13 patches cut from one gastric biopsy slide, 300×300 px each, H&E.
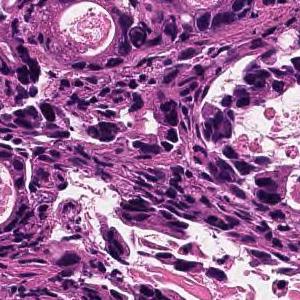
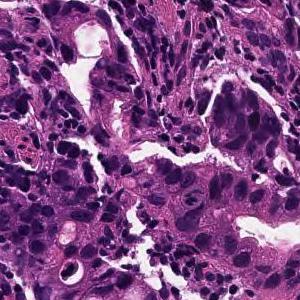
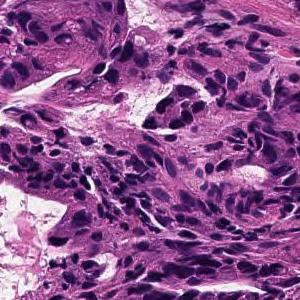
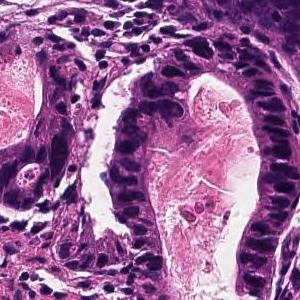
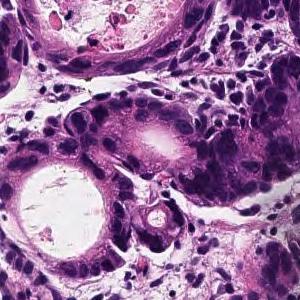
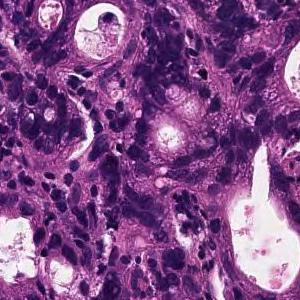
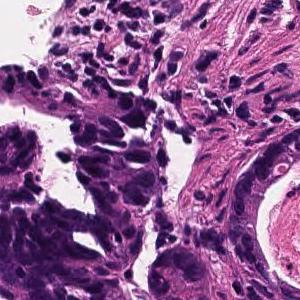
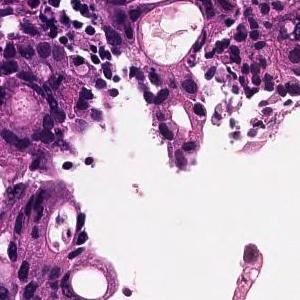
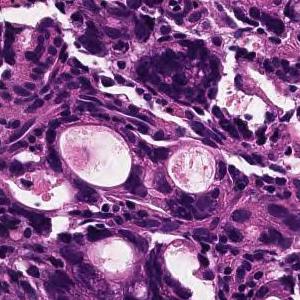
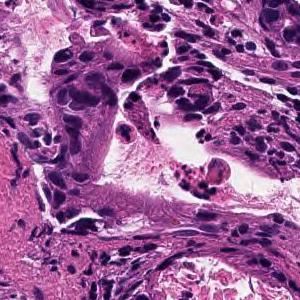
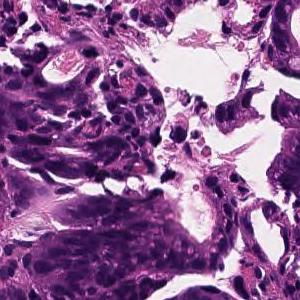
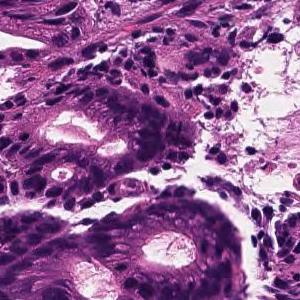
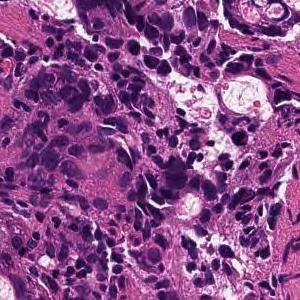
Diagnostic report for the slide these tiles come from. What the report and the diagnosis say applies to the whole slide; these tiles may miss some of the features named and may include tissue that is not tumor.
In the superficial epithelium, tumor tissue that invades by forming medium-sized to small, irregular ducts is observed. moderately differentiated tubular adenocarcinoma.
